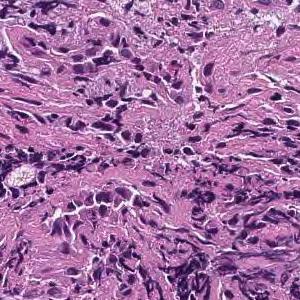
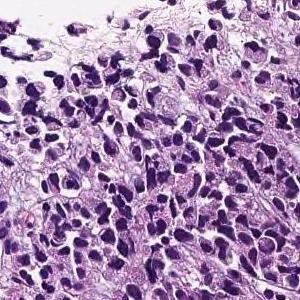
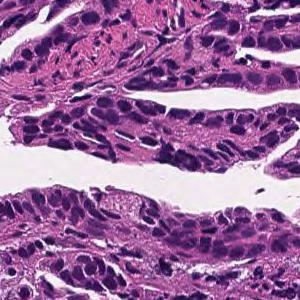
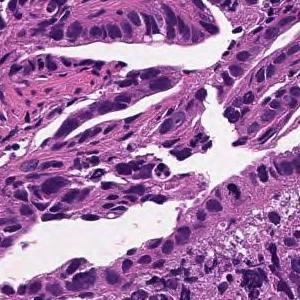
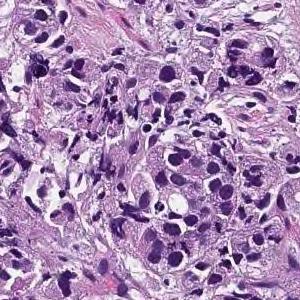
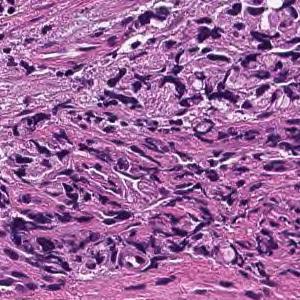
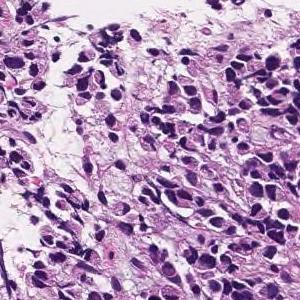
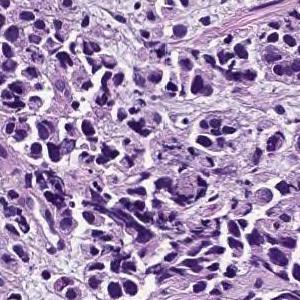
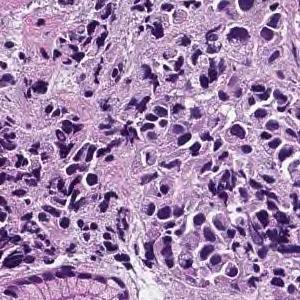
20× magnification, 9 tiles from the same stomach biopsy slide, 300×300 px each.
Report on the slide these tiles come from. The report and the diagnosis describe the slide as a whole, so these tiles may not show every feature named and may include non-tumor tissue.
The lamina propria shows small cord-like tumor tissue that infiltrates with fibrosis and marked chronic inflammatory cell infiltration. Poorly differentiated adenocarcinoma, non-solid type
The non-solid type named here is a Japanese Classification of Gastric Carcinoma category.
